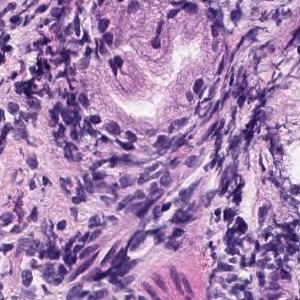
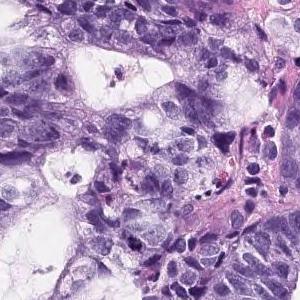
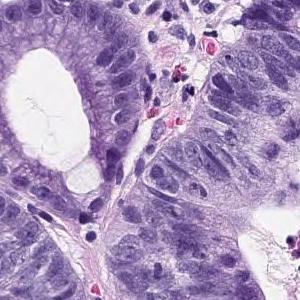
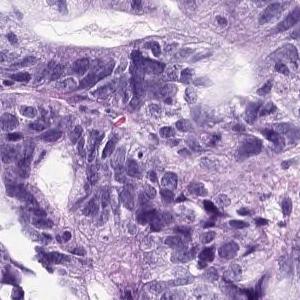
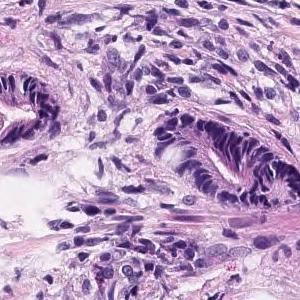
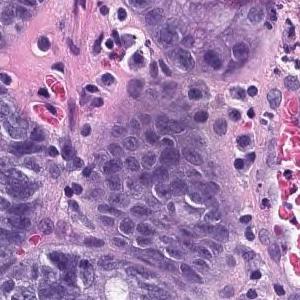
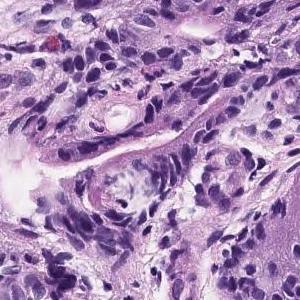
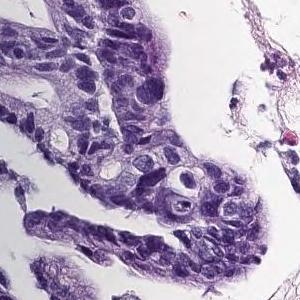
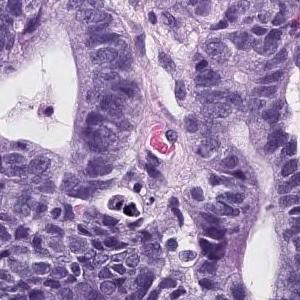
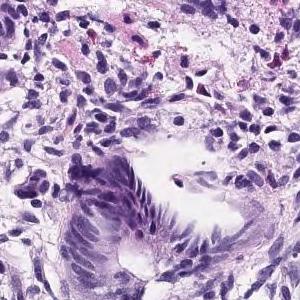
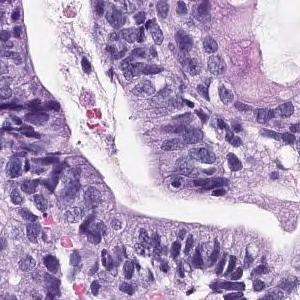
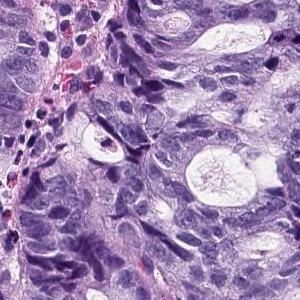
Hematoxylin and eosin stain, scanned at ×20, 12 image tiles from a single gastric biopsy slide, 300×300 px each.
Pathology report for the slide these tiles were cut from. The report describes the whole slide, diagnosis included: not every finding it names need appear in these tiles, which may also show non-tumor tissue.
On the superficial epithelium, tumor tissue consisting of medium-sized to large-sized, round or irregular glandular duct growth images is observed. Well differentiated adenocarcinoma.
Classified as well differentiated tubular adenocarcinoma.
